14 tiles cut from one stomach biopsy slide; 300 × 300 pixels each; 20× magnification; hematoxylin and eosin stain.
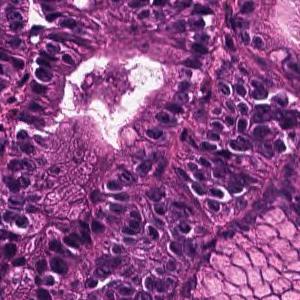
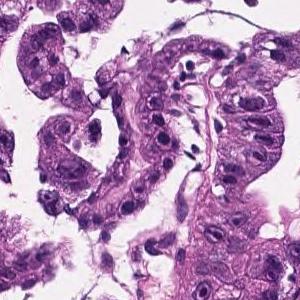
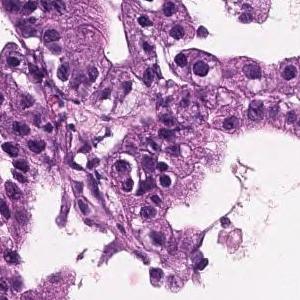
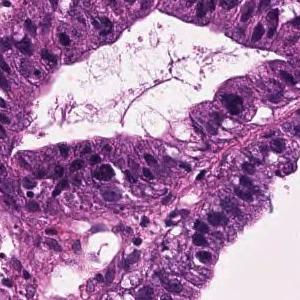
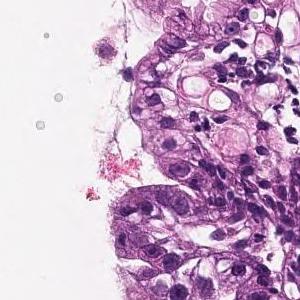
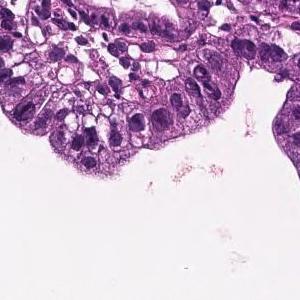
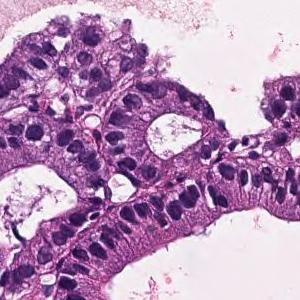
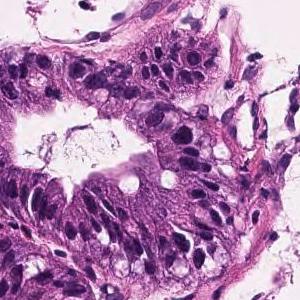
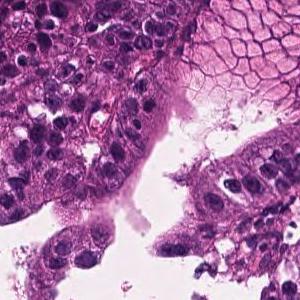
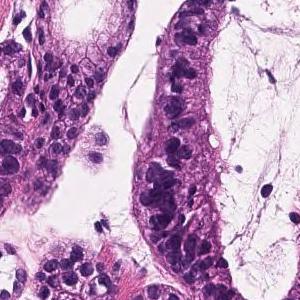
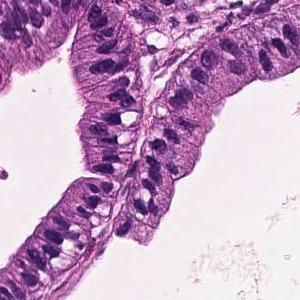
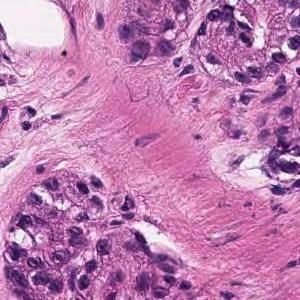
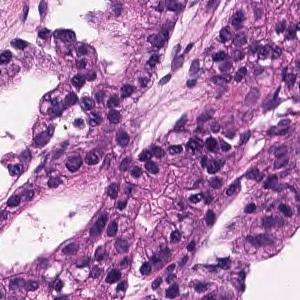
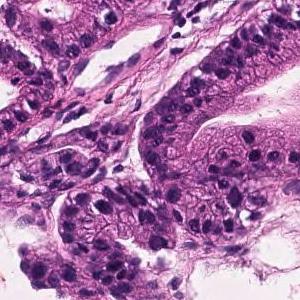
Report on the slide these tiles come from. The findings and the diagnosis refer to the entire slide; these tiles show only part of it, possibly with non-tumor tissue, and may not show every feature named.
On the superficial epithelium, tumor tissue that infiltrates by forming medium-sized papillary or small irregular ducts is observed. Papillary adenocarcinoma
